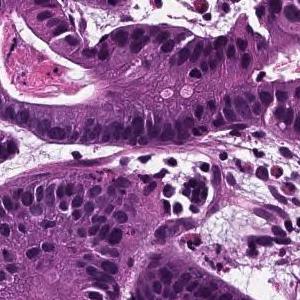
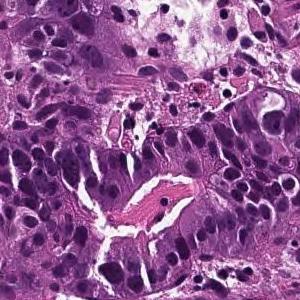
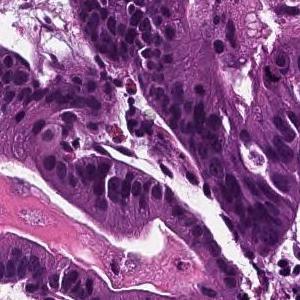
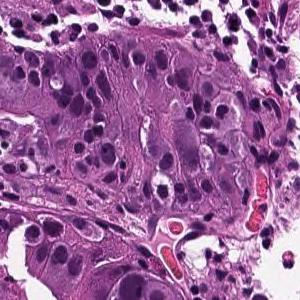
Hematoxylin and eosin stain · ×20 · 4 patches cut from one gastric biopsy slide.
Report on the slide these tiles come from. The findings and the diagnosis refer to the entire slide; these tiles show only part of it, possibly with non-tumor tissue, and may not show every feature named.
From the superficial epithelium to the muscularis mucosae, tumor tissue consisting of medium-sized and irregular glandular ducts infiltrating is observed. Well differentiated tubular adenocarcinoma
